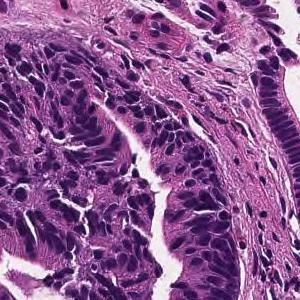
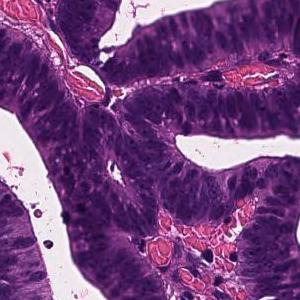
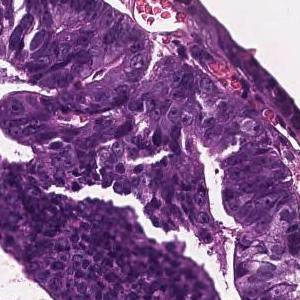
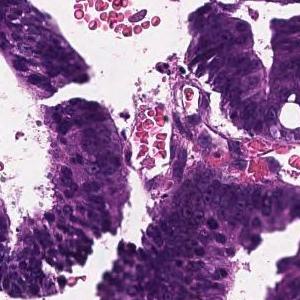
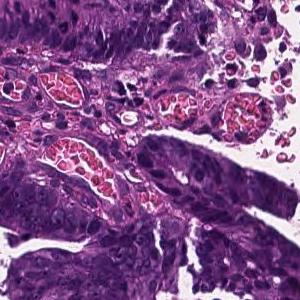
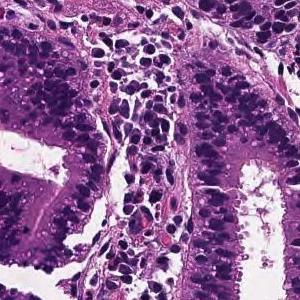
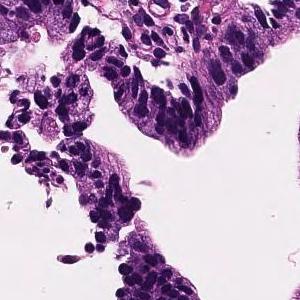
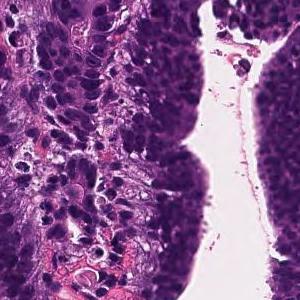
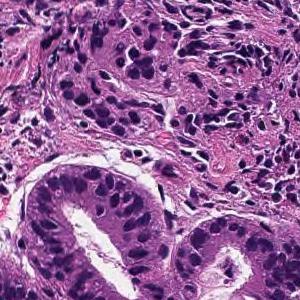
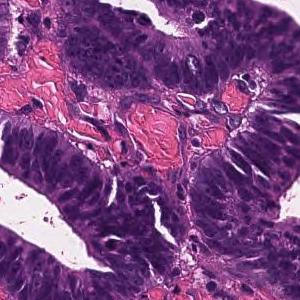
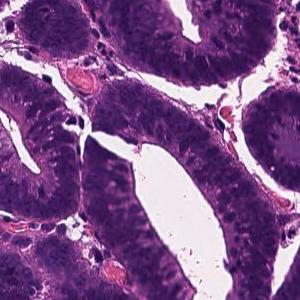
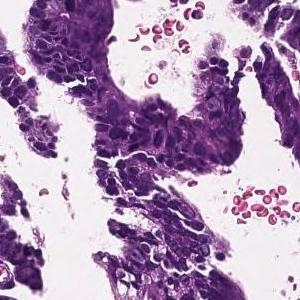
Hematoxylin and eosin stain, 20× magnification, 12 tiles cut from one stomach biopsy slide, 300×300 px each.
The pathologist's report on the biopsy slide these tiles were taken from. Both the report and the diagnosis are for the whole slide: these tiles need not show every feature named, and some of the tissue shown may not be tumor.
Tumor tissue consisting of large papillary structures is found in the superficial epithelium. Papillary adenocarcinoma.
